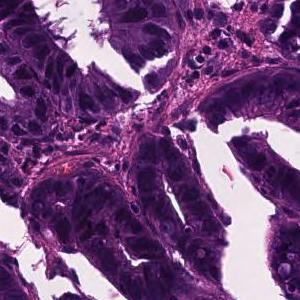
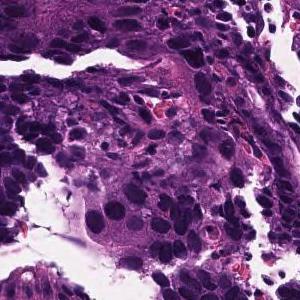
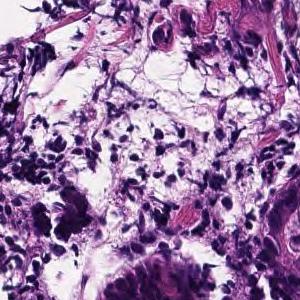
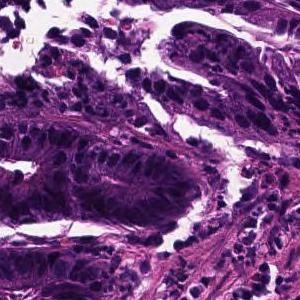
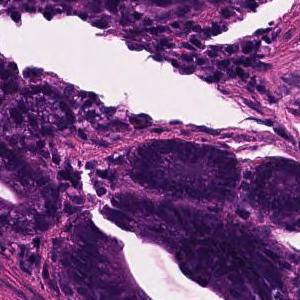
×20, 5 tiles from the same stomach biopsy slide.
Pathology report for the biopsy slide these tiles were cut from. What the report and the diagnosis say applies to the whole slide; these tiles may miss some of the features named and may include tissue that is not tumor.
From the superficial epithelium to the muscularis mucosae, tumor tissue infiltrating by forming medium-sized irregular gland ducts is observed. Large tumor cells exhibit large nucleus and hyperchromatism. Well differentiated tubular adenocarcinoma
